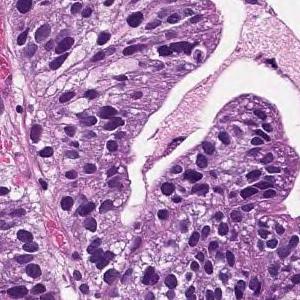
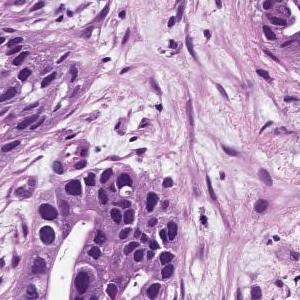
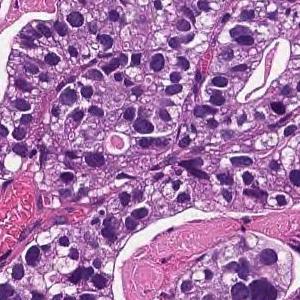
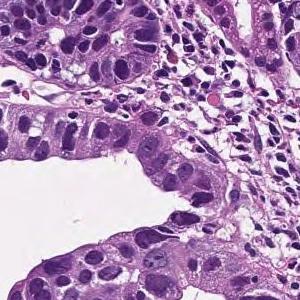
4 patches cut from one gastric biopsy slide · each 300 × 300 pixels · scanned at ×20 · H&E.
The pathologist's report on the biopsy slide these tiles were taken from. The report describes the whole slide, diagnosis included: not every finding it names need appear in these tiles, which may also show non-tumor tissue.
On the superficial epithelium, tumor tissue consisting of large, irregular glandular ducts partially fused and infiltrated is observed. Well to moderately differentiated tubular adenocarcinoma (well differentiated tubular adenocarcinoma, moderately differentiated tubular adenocarcinoma)
Histologic type: Well to moderately differentiated tubular adenocarcinoma.
